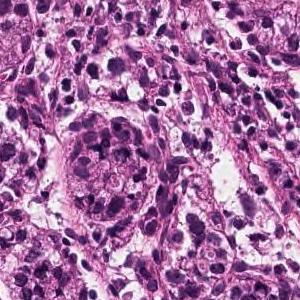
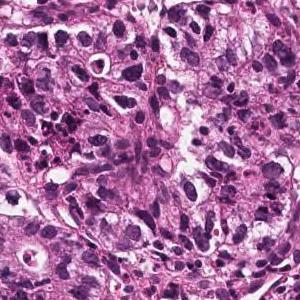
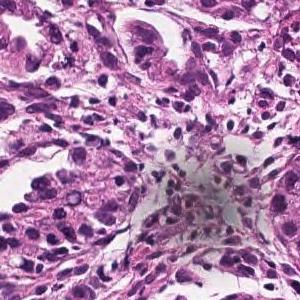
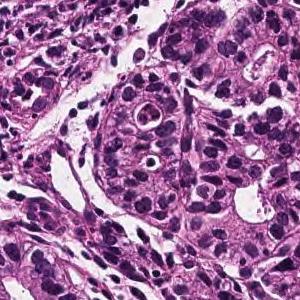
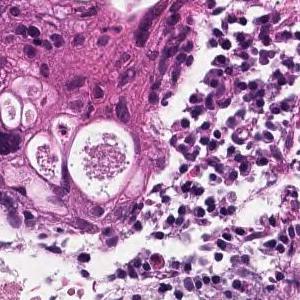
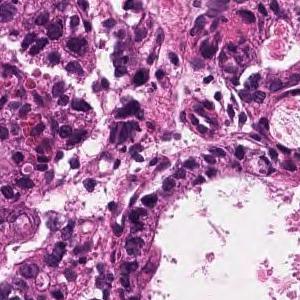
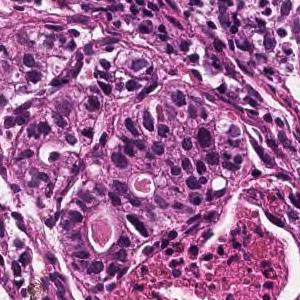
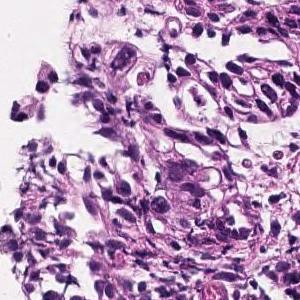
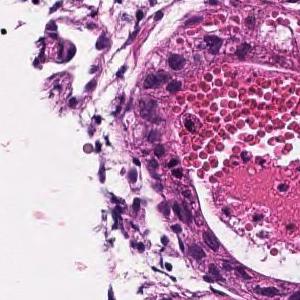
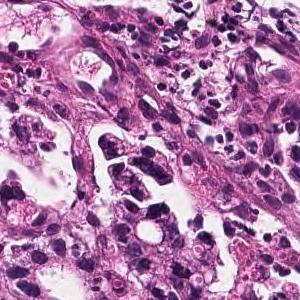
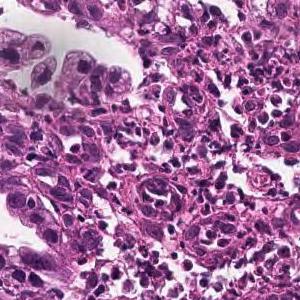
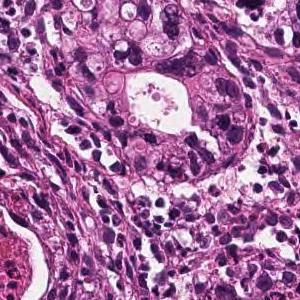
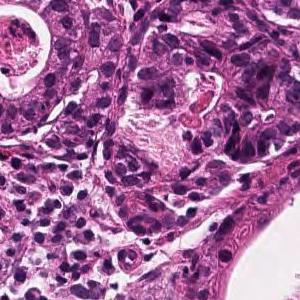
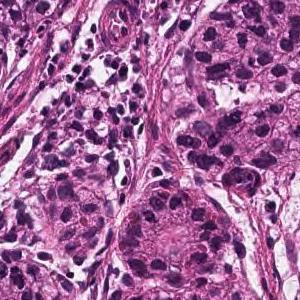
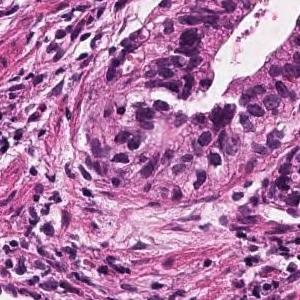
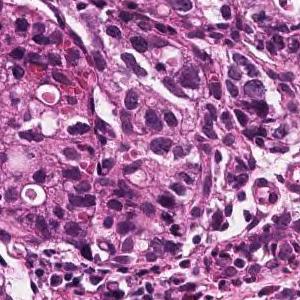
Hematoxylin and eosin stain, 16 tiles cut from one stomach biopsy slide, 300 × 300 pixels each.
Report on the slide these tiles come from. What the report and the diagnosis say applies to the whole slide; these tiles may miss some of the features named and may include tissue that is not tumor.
Tumor tissue consisting of medium-sized and irregular ducts is observed infiltrating in the superficial epithelium. Tumor cells are highly columnar, with nuclei aligned basolaterally and polarized. Well differentiated tubular adenocarcinoma.
